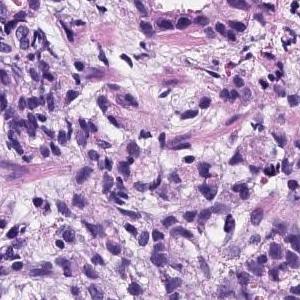
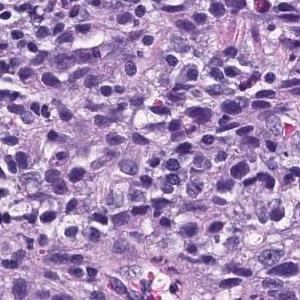
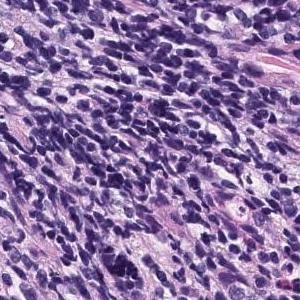
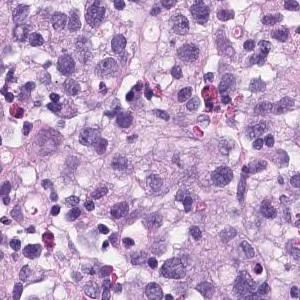
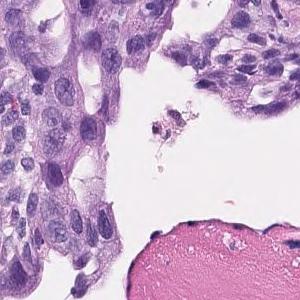
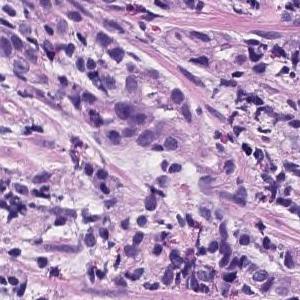
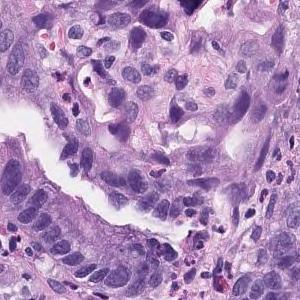
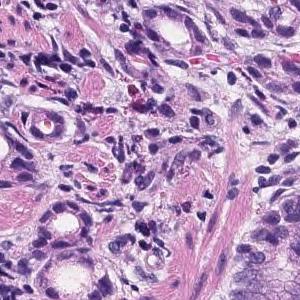
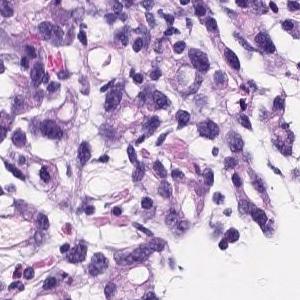
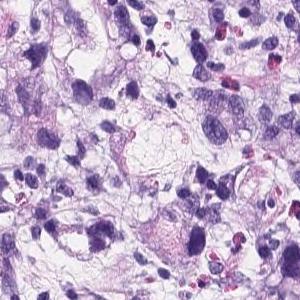
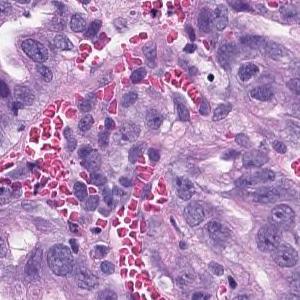
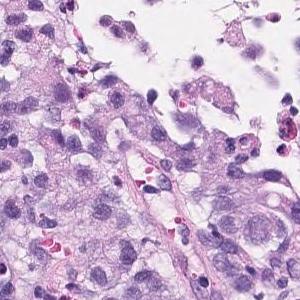
H&E, ×20, 12 image tiles from a single gastric biopsy slide.
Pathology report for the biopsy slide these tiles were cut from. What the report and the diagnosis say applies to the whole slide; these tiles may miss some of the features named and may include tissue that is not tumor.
There are atypical l cells with atypical nuclei forming cord-like or irregular atypical ducts from solidity and proliferating in a comprehensive manner. Poorly differentiated adenocarcinoma, Moderately differentiated adenocarcinoma (poorly differentiated adenocarcinoma, solid type moderately differentiated tubular adenocarcinoma)
Histologic type: Moderately to poorly differentiated adenocarcinoma.
The solid type named here is a Japanese Classification of Gastric Carcinoma category; WHO 2019 calls it tubular adenocarcinoma, poorly differentiated.
